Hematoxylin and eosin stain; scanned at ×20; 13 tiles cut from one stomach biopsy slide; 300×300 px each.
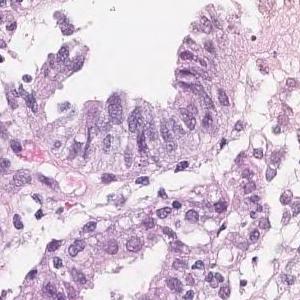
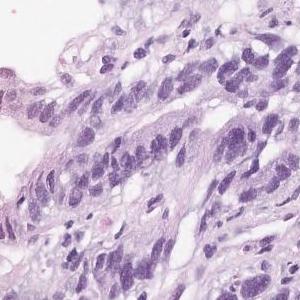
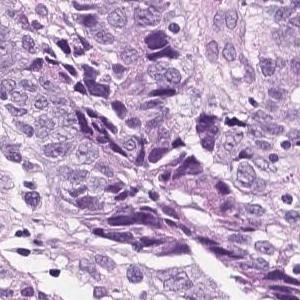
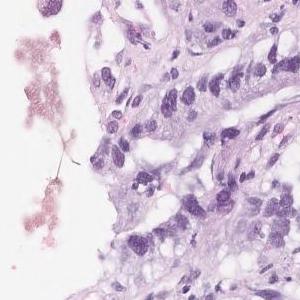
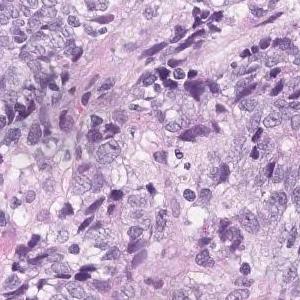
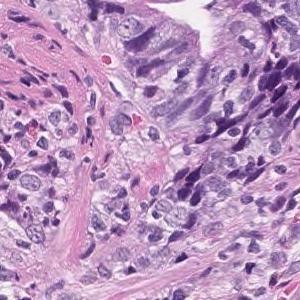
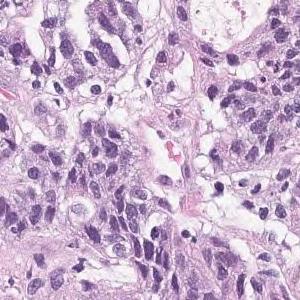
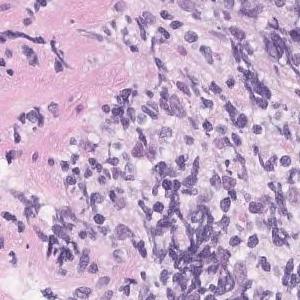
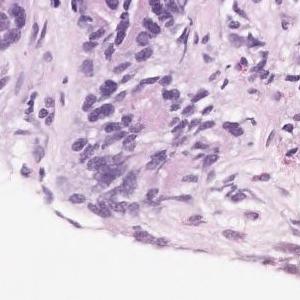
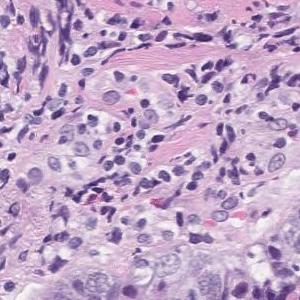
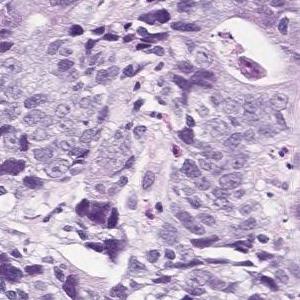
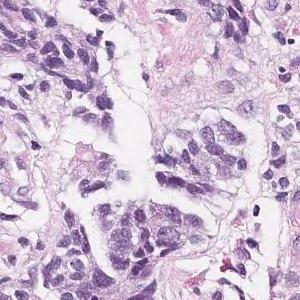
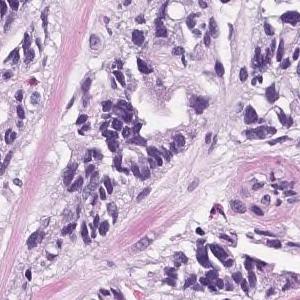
Diagnostic report for the slide these tiles come from. The findings and the diagnosis refer to the entire slide; these tiles show only part of it, possibly with non-tumor tissue, and may not show every feature named.
Highly columnar epithelium with disordered nuclear localization proliferates showing fusion ductal construction. moderately differentiated tubular adenocarcinoma
